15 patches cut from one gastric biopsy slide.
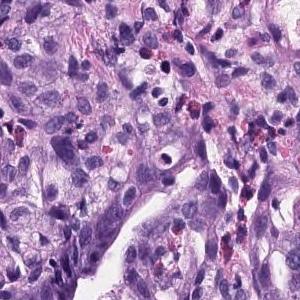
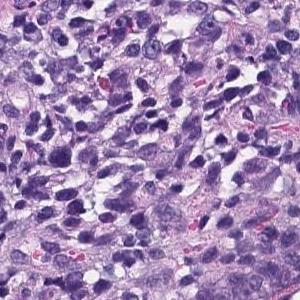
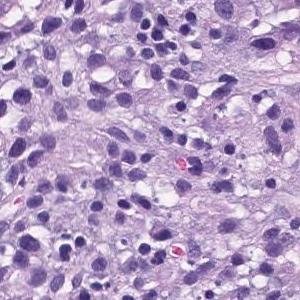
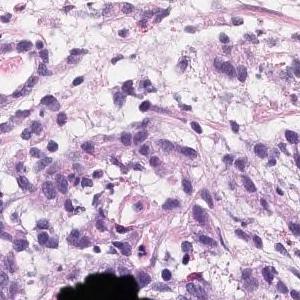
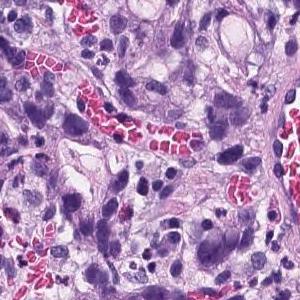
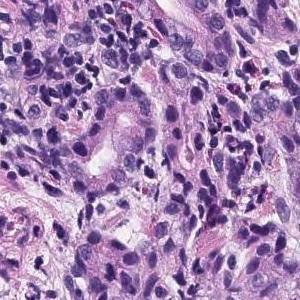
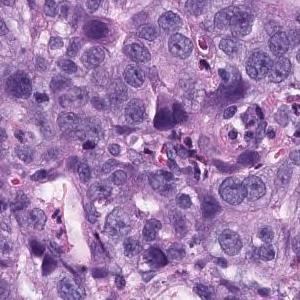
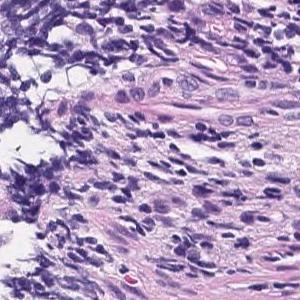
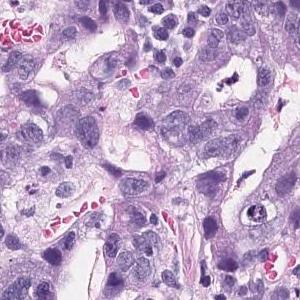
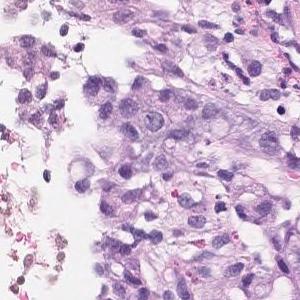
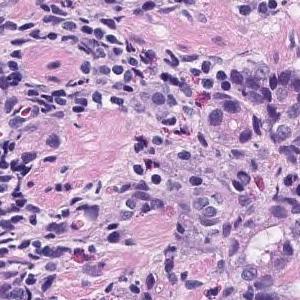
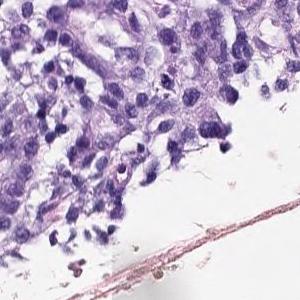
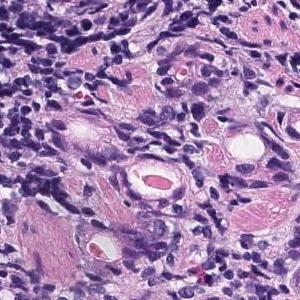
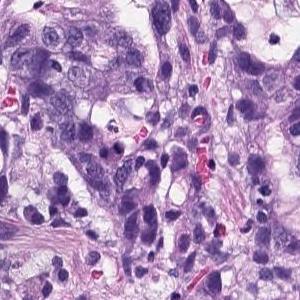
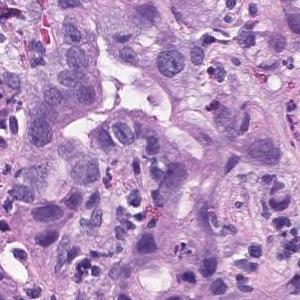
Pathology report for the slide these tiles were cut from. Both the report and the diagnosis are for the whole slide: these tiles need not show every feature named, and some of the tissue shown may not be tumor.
There are atypical l cells with atypical nuclei forming cord-like or irregular atypical ducts from solidity and proliferating in a comprehensive manner. Poorly differentiated adenocarcinoma, Moderately differentiated adenocarcinoma (poorly differentiated adenocarcinoma, solid type moderately differentiated tubular adenocarcinoma)
Histologic type: Moderately to poorly differentiated adenocarcinoma.
The term "solid type" comes from the Japanese Classification of Gastric Carcinoma; the WHO 2019 equivalent is tubular adenocarcinoma, poorly differentiated.
